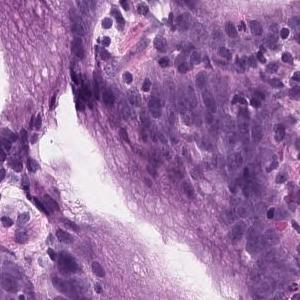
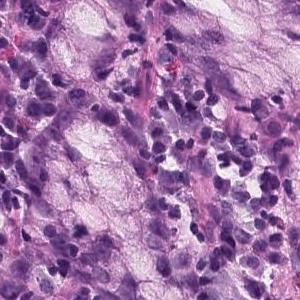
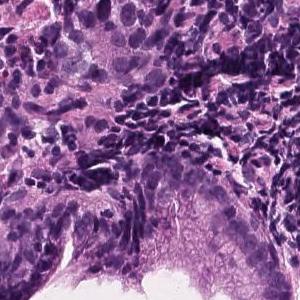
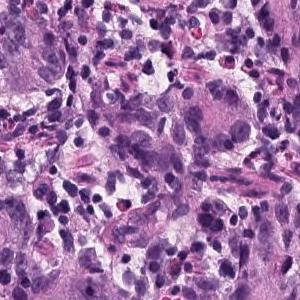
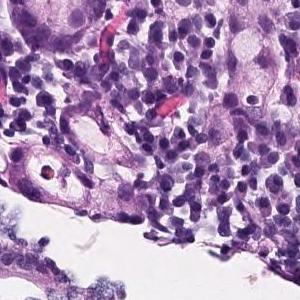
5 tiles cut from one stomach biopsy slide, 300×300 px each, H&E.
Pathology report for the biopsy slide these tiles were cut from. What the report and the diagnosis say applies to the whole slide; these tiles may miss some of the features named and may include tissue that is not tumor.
In the superficial epithelium, tumor tissue that invades by forming medium-sized to small, irregular ducts is observed. Moderately differentiated adenocarcinoma.
Tumor subtype: moderately differentiated tubular adenocarcinoma.
